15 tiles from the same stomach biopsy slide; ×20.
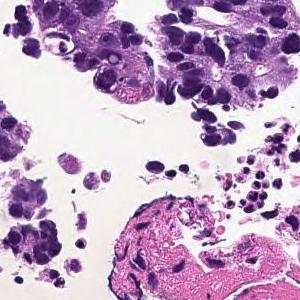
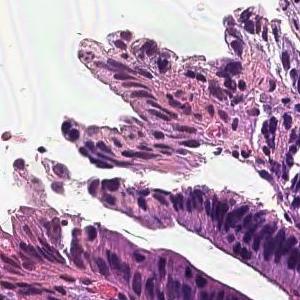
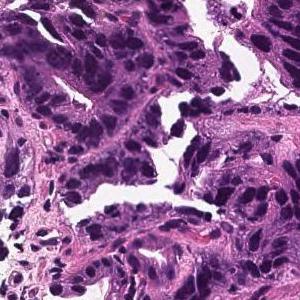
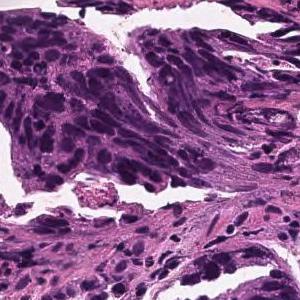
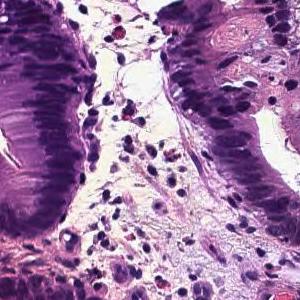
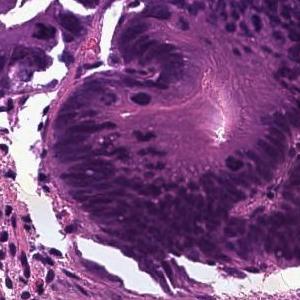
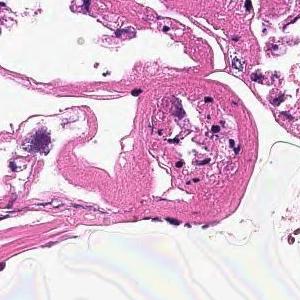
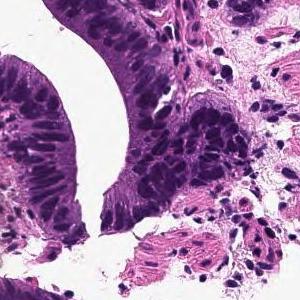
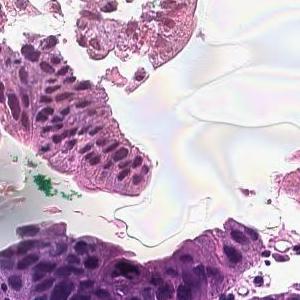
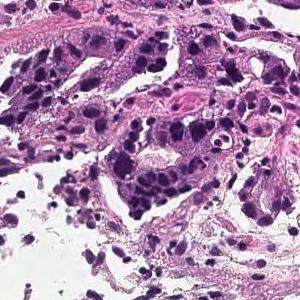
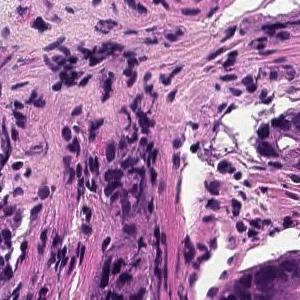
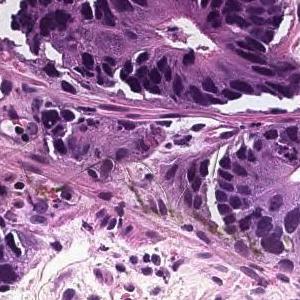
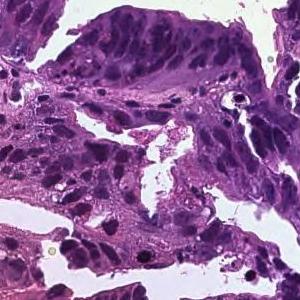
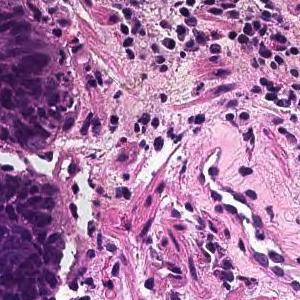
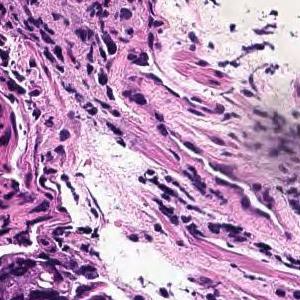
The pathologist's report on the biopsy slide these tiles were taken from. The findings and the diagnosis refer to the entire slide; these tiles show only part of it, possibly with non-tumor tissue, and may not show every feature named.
In the superficial epithelium, tumor tissue that invades by forming medium-sized to small, irregular ducts is observed. moderately differentiated tubular adenocarcinoma.
